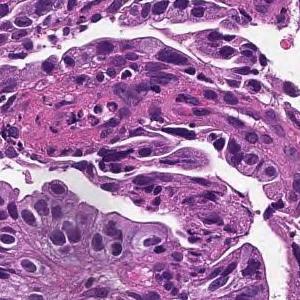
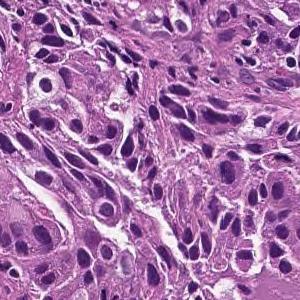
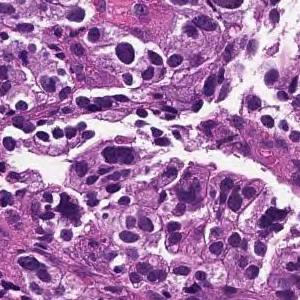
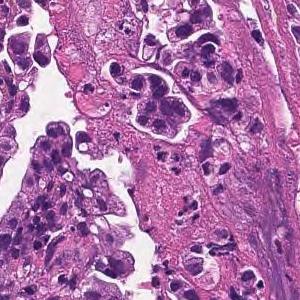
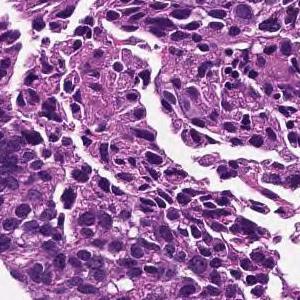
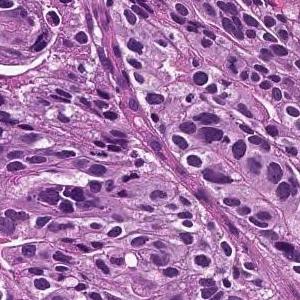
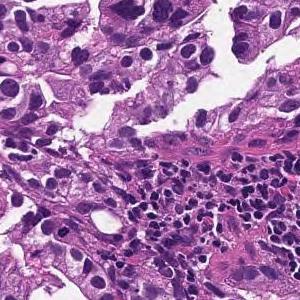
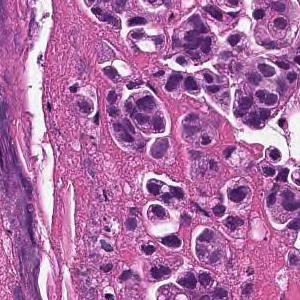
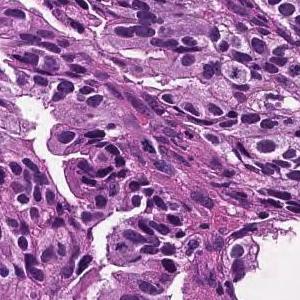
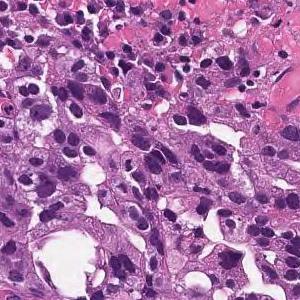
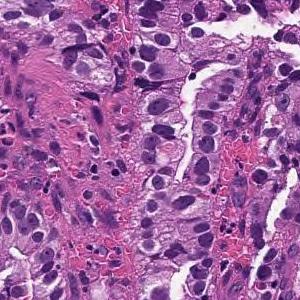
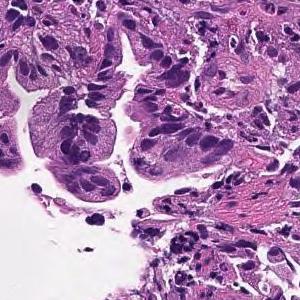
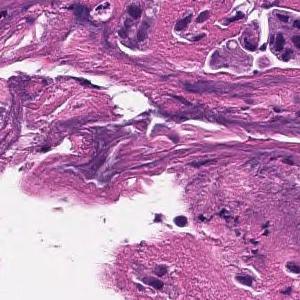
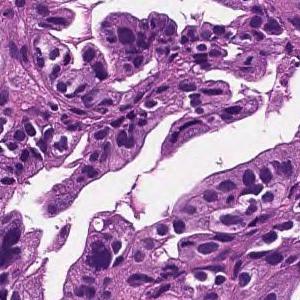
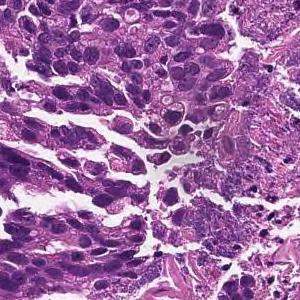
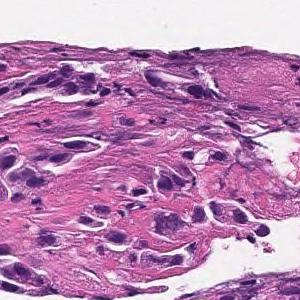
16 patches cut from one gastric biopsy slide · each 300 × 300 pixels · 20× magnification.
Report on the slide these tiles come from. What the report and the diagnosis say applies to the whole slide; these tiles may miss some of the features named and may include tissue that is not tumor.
Medium to small, irregular glandular ducts are formed in the superficial epithelium, and in some cases, the glandular ducts are fused to show solid alveolar lesions and infiltrating tumor tissue is observed. Moderately to poorly differentiated adenocarcinoma.
